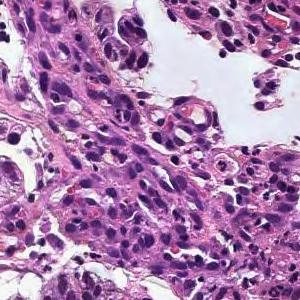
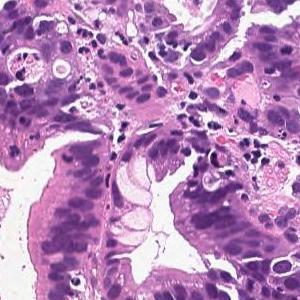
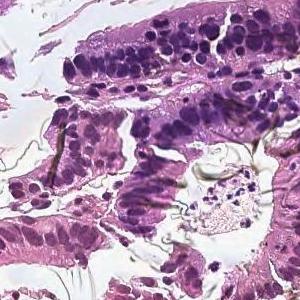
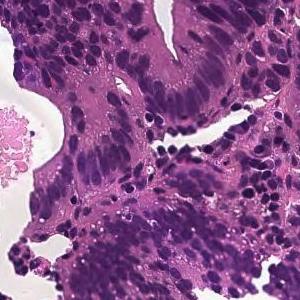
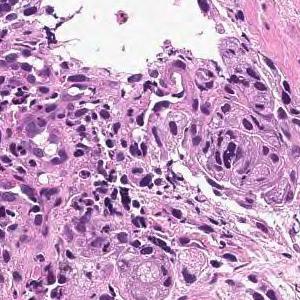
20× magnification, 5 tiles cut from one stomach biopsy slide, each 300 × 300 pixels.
Pathology report for the biopsy slide these tiles were cut from. The findings and the diagnosis refer to the entire slide; these tiles show only part of it, possibly with non-tumor tissue, and may not show every feature named.
On the superficial epithelium, tumor tissue consisting of large irregular glandular ducts partially fused and infiltrated is observed. Well to moderately differentiated tubular adenocarcinoma (well differentiated tubular adenocarcinoma, moderately differentiated tubular adenocarcinoma)
Subtype: Well to moderately differentiated tubular adenocarcinoma.
